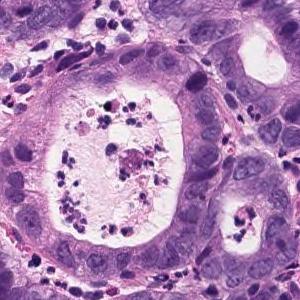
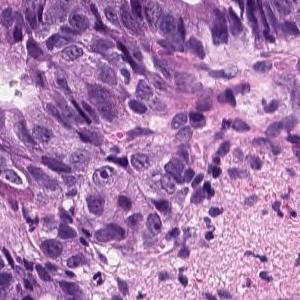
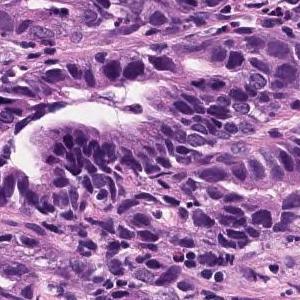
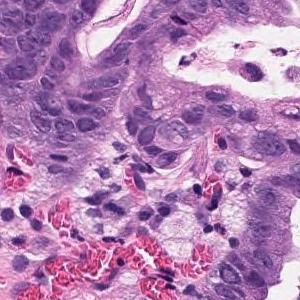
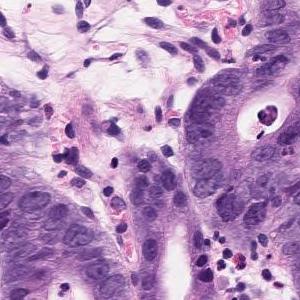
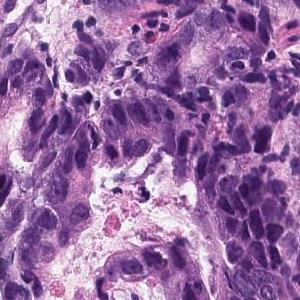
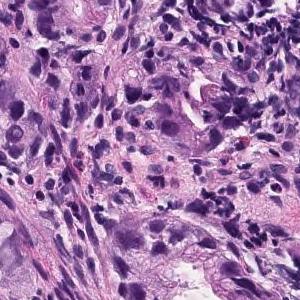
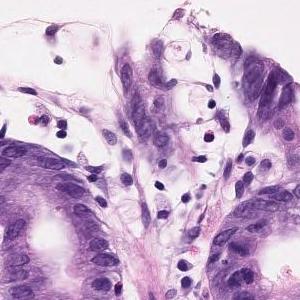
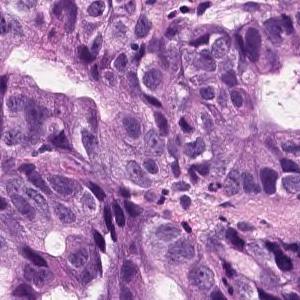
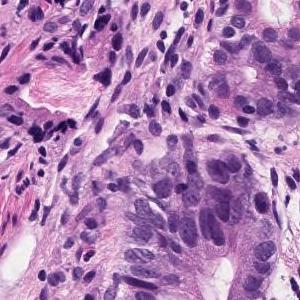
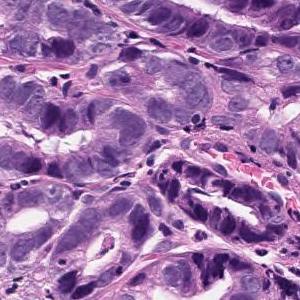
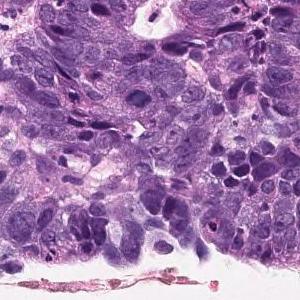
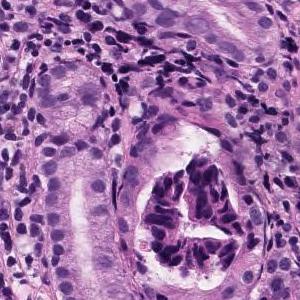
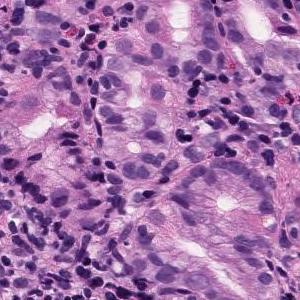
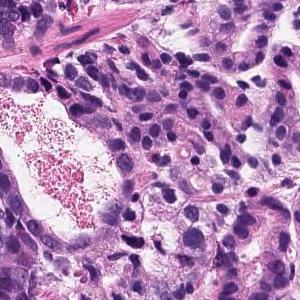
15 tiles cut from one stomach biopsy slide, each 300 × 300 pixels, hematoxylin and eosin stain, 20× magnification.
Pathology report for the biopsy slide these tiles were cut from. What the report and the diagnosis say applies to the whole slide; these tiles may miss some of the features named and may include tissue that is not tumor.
The swollen atypical epithelium of the nucleus forms an irregular ductal structure and proliferates. moderately differentiated tubular adenocarcinoma
